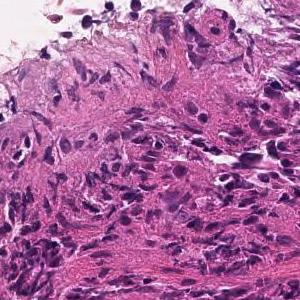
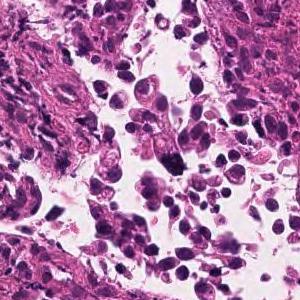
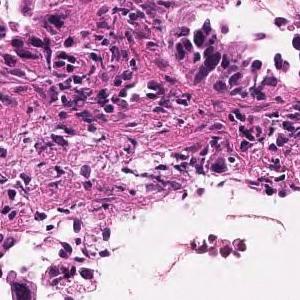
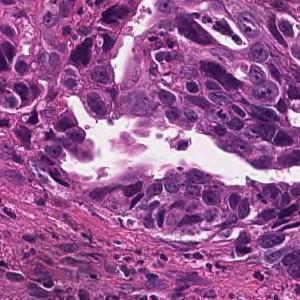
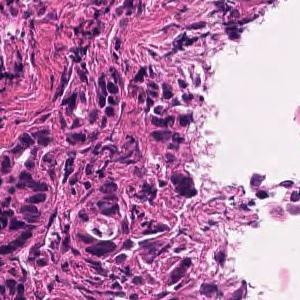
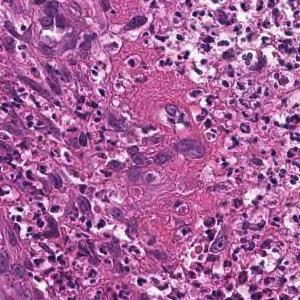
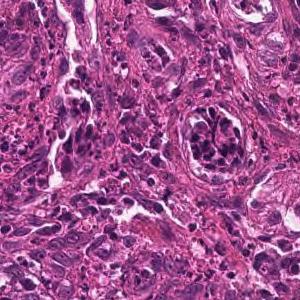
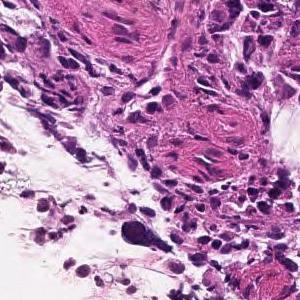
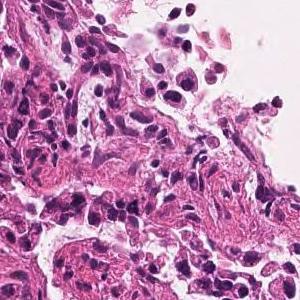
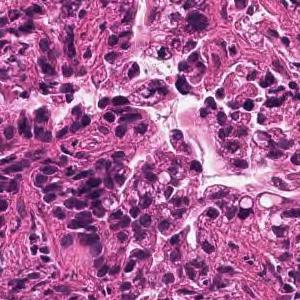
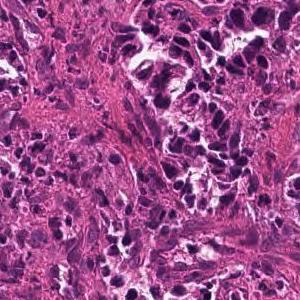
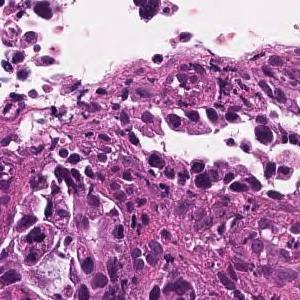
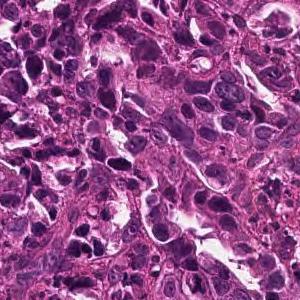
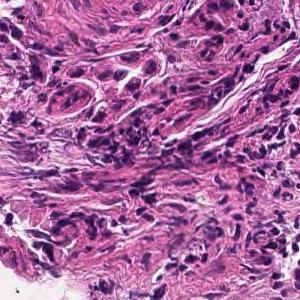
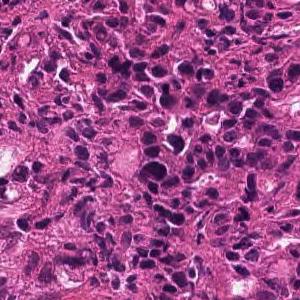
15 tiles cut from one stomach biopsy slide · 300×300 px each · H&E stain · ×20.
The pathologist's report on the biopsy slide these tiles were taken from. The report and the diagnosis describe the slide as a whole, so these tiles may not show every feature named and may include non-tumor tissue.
In the superficial epithelium, tumor tissue that invades by forming medium-sized to small, irregular ducts is observed. moderately differentiated tubular adenocarcinoma.
